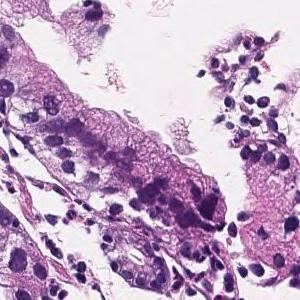
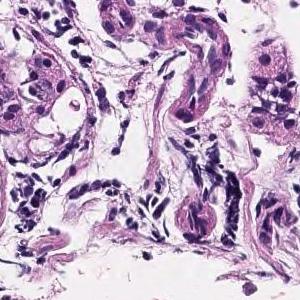
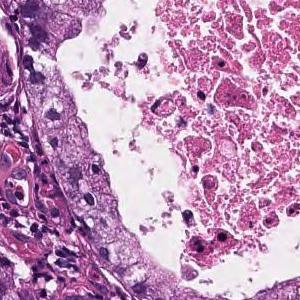
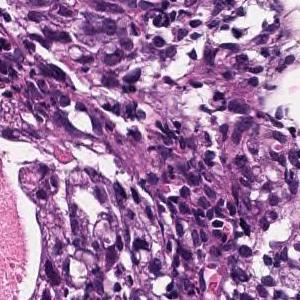
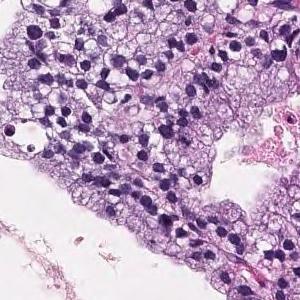
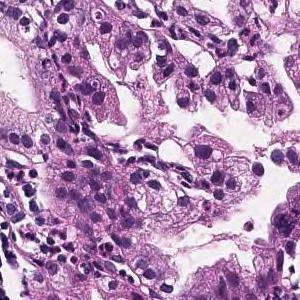
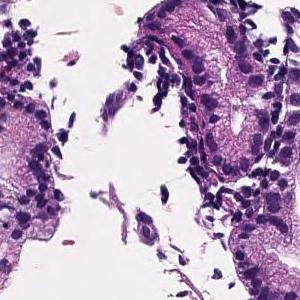
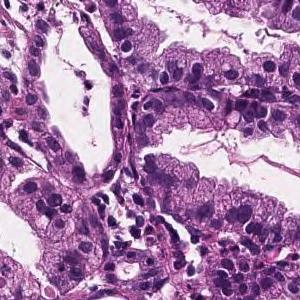
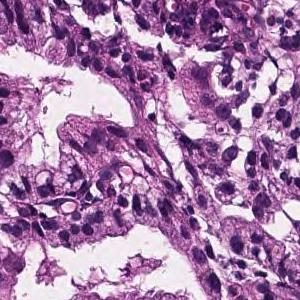
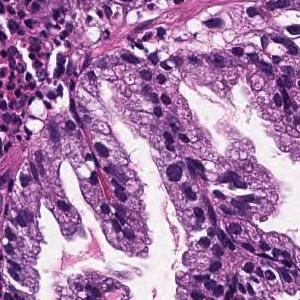
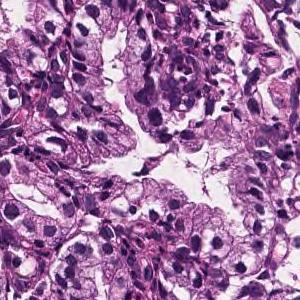
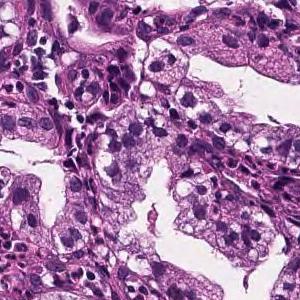
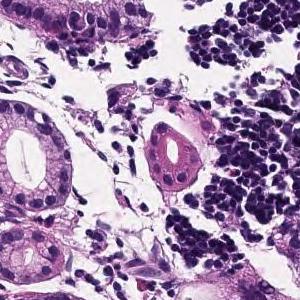
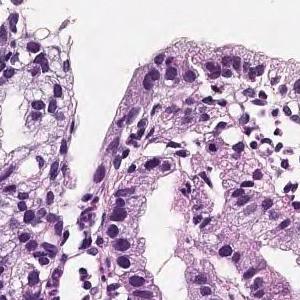
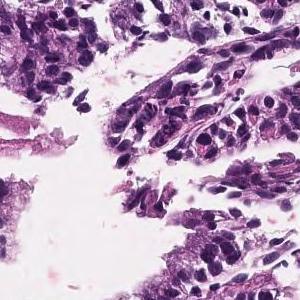
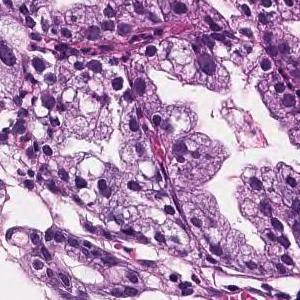
16 tiles cut from one stomach biopsy slide.
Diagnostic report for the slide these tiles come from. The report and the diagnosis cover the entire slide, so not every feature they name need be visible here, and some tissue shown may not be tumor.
In the superficial epithelium, tumor tissue that infiltrates by forming medium-sized papillary or small irregular ducts is observed. Papillary adenocarcinoma
